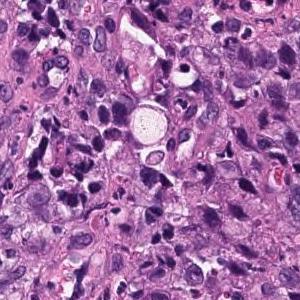
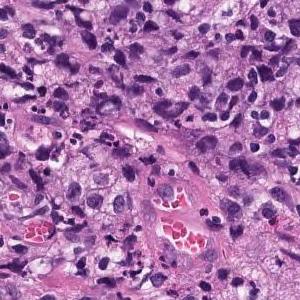
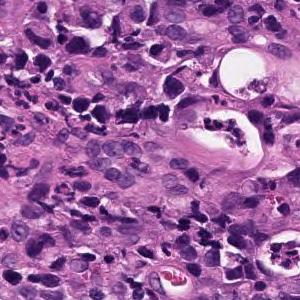
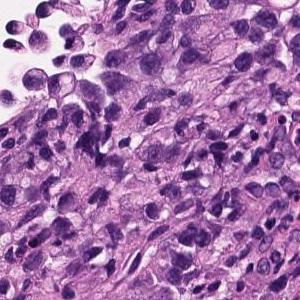
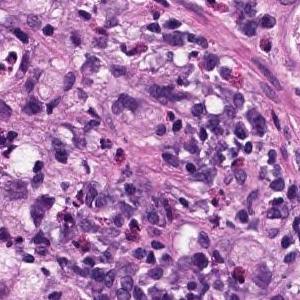
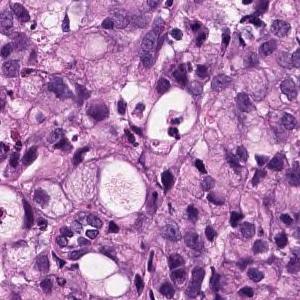
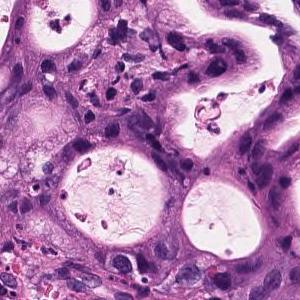
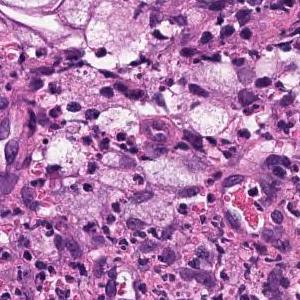
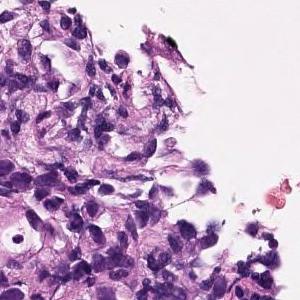
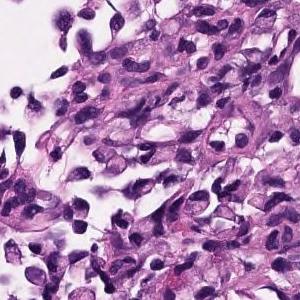
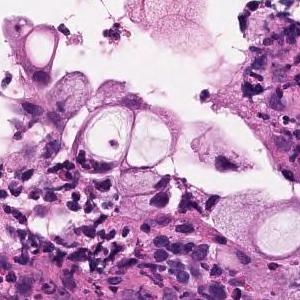
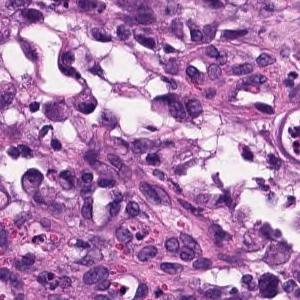
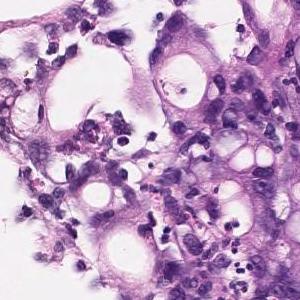
13 tiles cut from one stomach biopsy slide, 300 × 300 pixels each, 20× magnification.
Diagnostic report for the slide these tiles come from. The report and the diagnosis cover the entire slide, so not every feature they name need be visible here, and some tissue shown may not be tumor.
Atypical epithelium forms irregularly fused gland ducts and proliferates. Poorly differentiated adenocarcinoma.
Subtype: Poorly differentiated adenocarcinoma, non-solid type.
The non-solid type named here is a Japanese Classification of Gastric Carcinoma category.
